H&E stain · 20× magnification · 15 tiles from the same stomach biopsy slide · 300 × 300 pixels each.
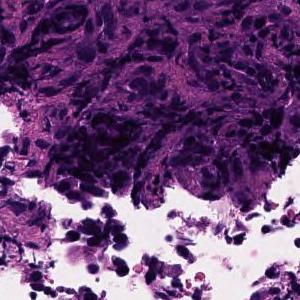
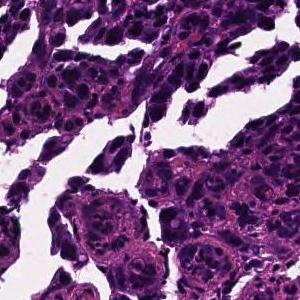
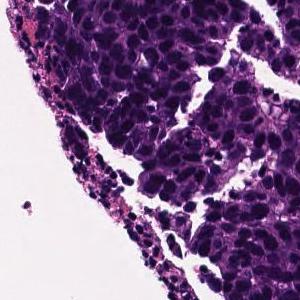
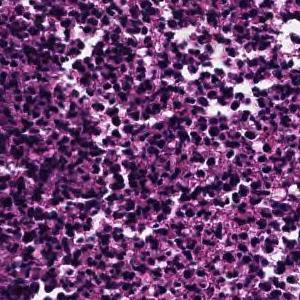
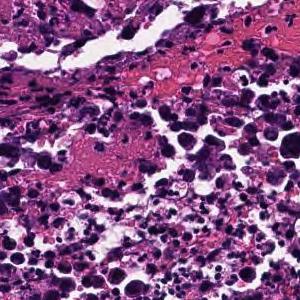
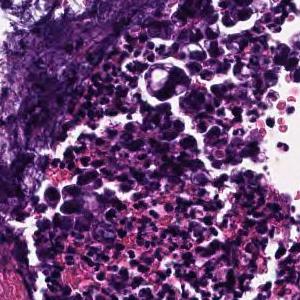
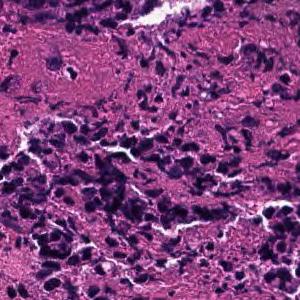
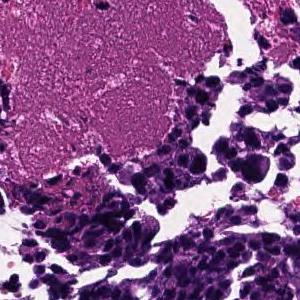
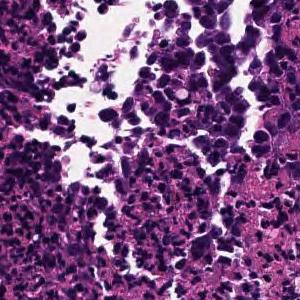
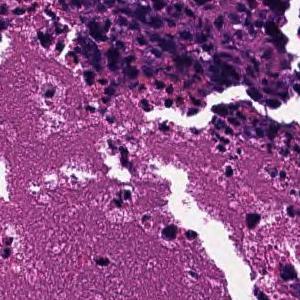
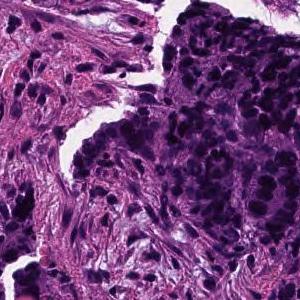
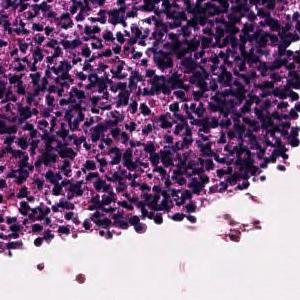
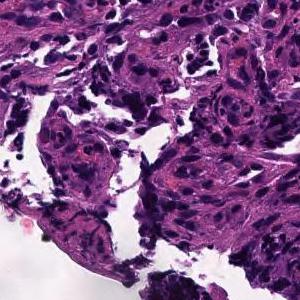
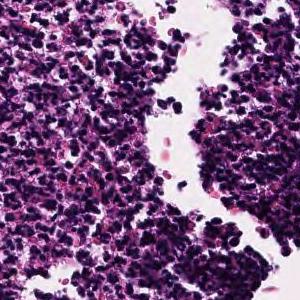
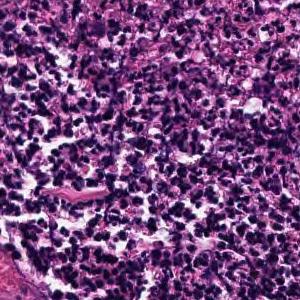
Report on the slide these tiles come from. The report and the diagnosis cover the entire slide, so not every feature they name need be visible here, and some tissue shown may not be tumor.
In the superficial epithelium, tumor tissue that invades by forming medium-sized to small, irregular ducts is observed. moderately differentiated tubular adenocarcinoma.
